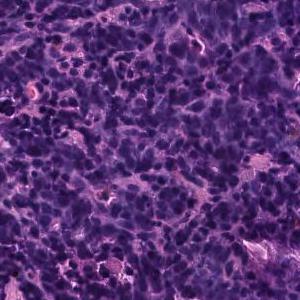
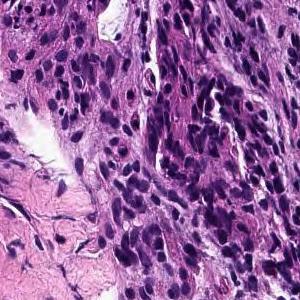
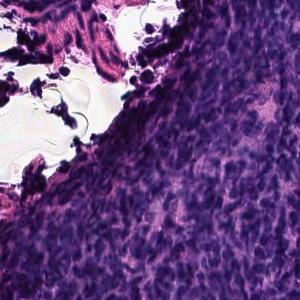
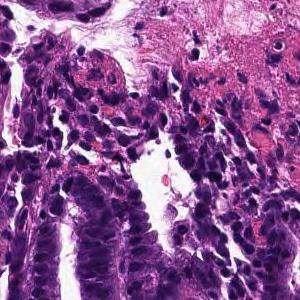
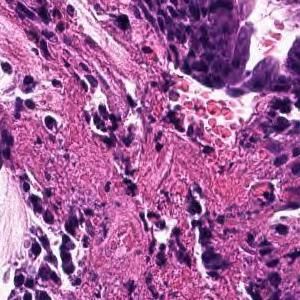
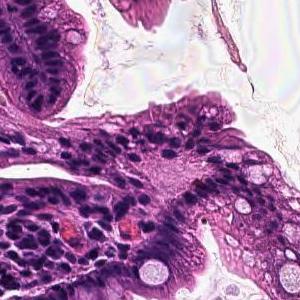
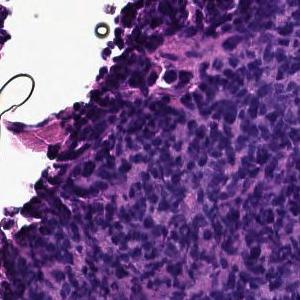
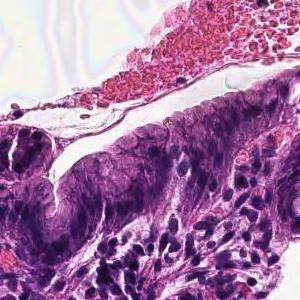
8 patches cut from one gastric biopsy slide · 300×300 px each · H&E.
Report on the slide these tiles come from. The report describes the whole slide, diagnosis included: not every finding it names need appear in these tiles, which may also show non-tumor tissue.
The superficial epithelium shows a large sheet-like shape, and some tumor tissue infiltrates with small irregular ducts. Poorly differentiated adenocarcinoma, solid-type
Subtype: Poorly differentiated adenocarcinoma, solid type (Japanese Classification of Gastric Carcinoma). The WHO 2019 equivalent is tubular adenocarcinoma, poorly differentiated.
